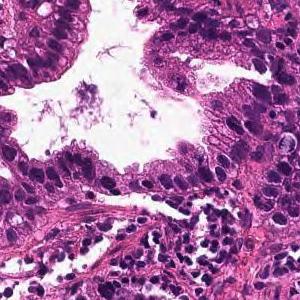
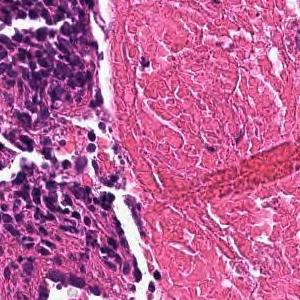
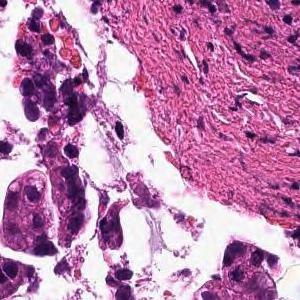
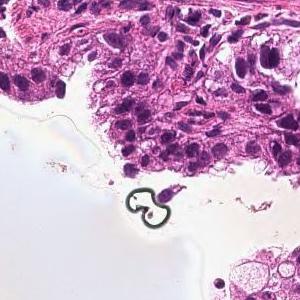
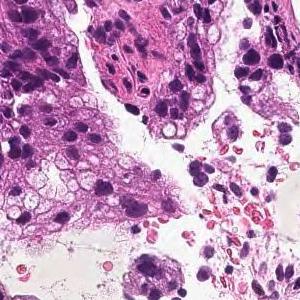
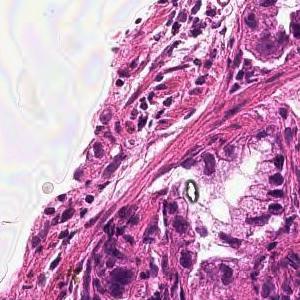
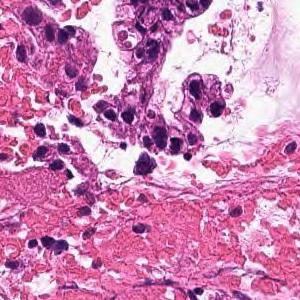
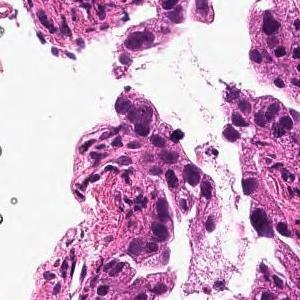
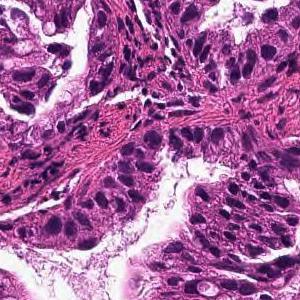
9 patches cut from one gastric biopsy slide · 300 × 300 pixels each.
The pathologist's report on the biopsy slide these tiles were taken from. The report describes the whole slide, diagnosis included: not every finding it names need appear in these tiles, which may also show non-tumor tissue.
From the superficial epithelium to the muscularis mucosae, tumor tissue infiltrating by forming medium-sized irregular gland ducts is observed. Well differentiated tubular adenocarcinoma
